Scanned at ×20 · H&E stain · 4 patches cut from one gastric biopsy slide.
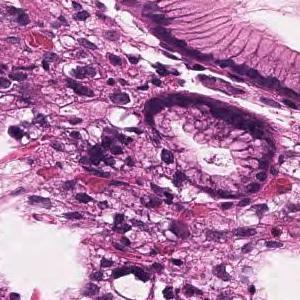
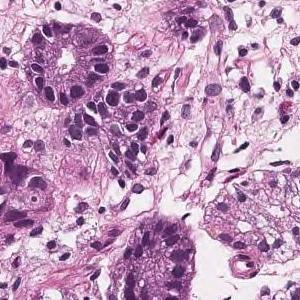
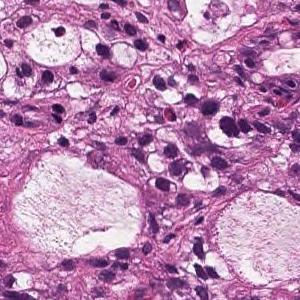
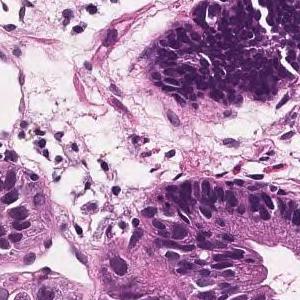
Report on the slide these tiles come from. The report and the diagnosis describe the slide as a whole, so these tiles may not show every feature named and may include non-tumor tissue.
Medium to small, irregular glandular ducts are formed in the superficial epithelium, and in some cases, the glandular ducts are fused to show solid alveolar lesions and infiltrating tumor tissue is observed. Moderately to poorly differentiated adenocarcinoma.
